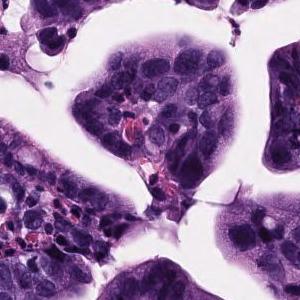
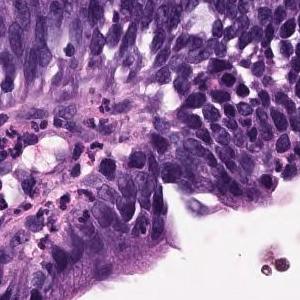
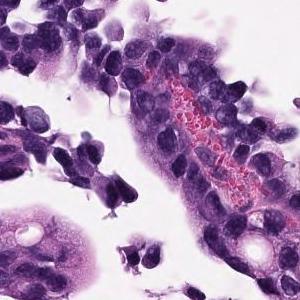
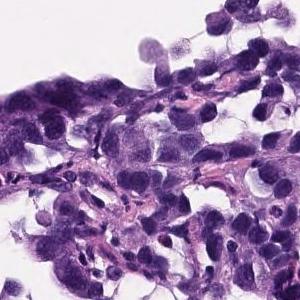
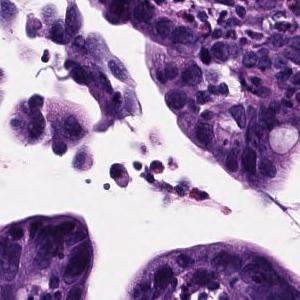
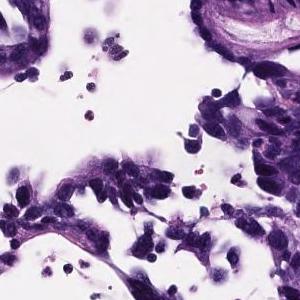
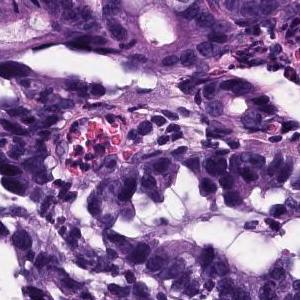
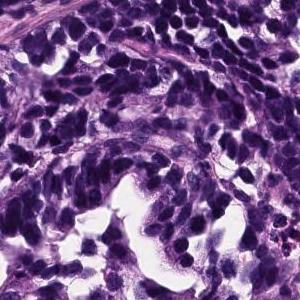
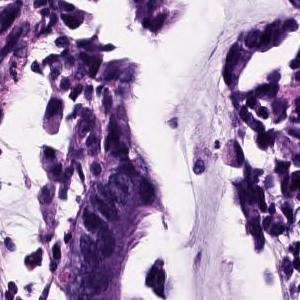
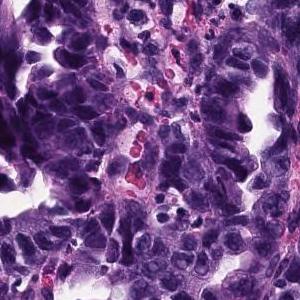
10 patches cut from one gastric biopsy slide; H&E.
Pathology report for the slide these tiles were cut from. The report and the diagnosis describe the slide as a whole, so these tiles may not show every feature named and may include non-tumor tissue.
Atypical epithelium proliferating showing villus construction and irregular gland duct construction is observed. Moderately differentiated tubular adenocarcinoma.
